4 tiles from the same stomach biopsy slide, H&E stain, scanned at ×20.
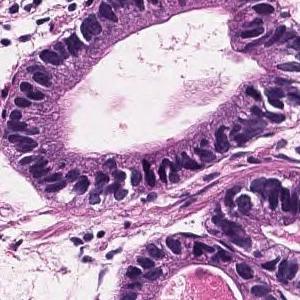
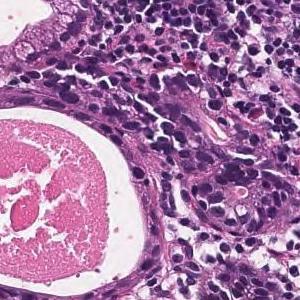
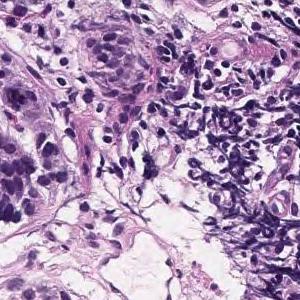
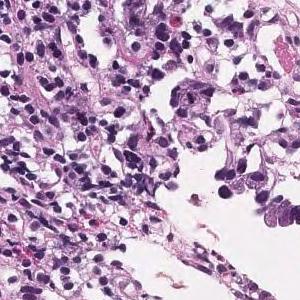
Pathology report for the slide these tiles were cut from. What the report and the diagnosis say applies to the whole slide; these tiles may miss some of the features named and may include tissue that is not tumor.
Tumor tissue consisting of medium-sized and irregular ducts is observed infiltrating in the superficial epithelium. Tumor cells are highly columnar, with nuclei aligned basolaterally and polarized. Well differentiated tubular adenocarcinoma.
